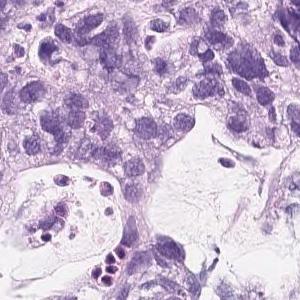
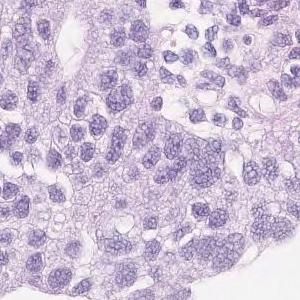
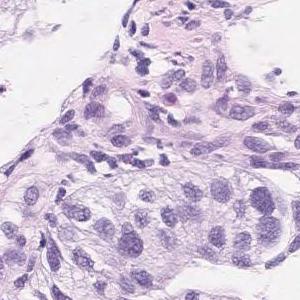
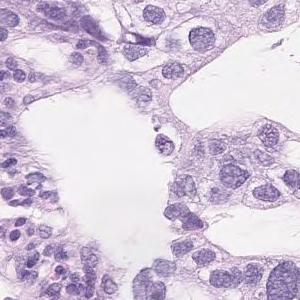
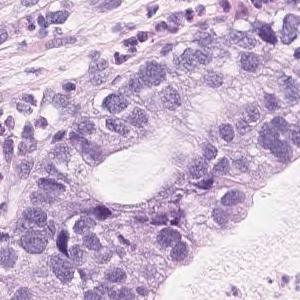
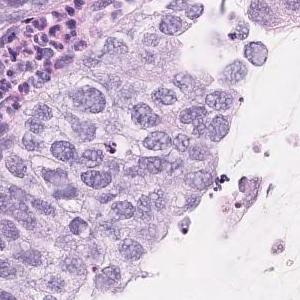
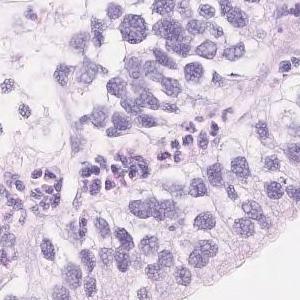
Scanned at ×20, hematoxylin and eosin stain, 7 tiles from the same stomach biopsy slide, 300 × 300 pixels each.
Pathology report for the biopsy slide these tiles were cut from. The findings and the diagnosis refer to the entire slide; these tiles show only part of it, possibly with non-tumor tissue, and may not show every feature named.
On the superficial epithelium, tumor tissue consisting of large, irregular glandular ducts partially fused and infiltrated is observed. Well to moderately differentiated tubular adenocarcinoma (well differentiated tubular adenocarcinoma, moderately differentiated tubular adenocarcinoma)
Subtype: Well to moderately differentiated tubular adenocarcinoma.
